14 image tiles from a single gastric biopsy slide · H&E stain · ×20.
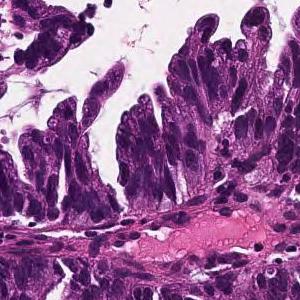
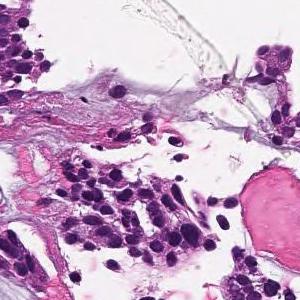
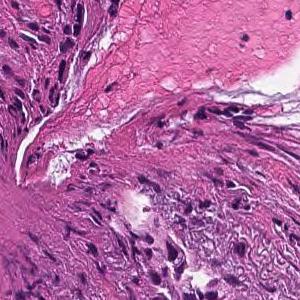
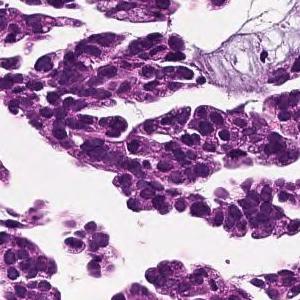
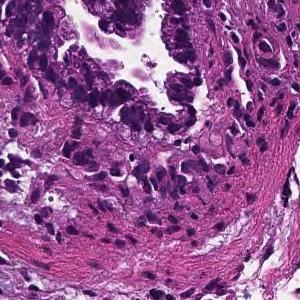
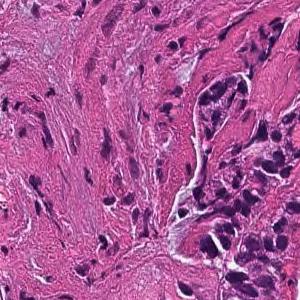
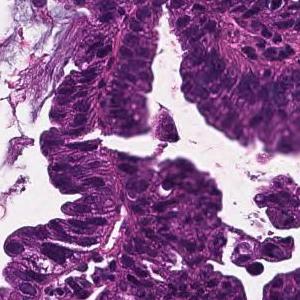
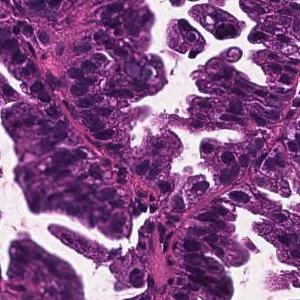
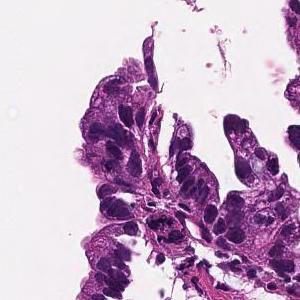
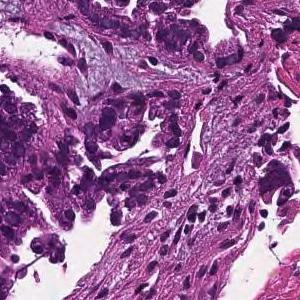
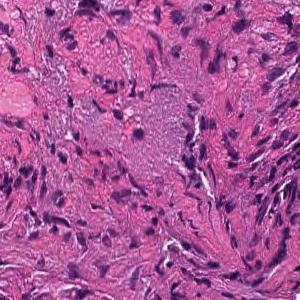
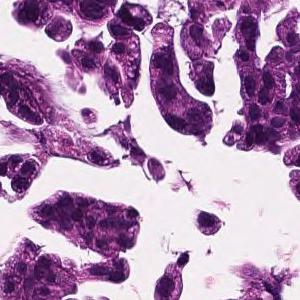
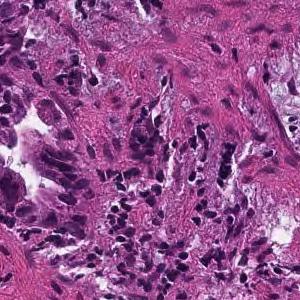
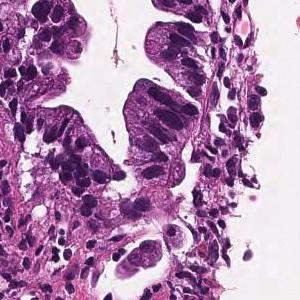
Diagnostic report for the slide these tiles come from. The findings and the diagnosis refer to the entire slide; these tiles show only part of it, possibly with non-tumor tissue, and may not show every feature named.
Tumor cells are large, highly columnar, large club-shaped nuclei, and are associated with chromatin aggregation. Papillary adenocarcinoma.
